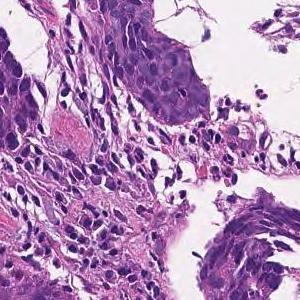
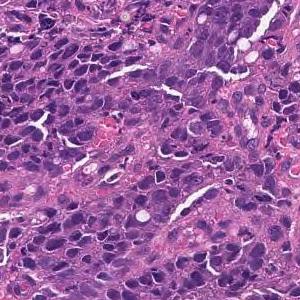
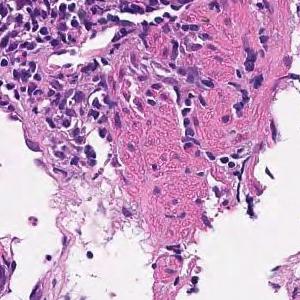
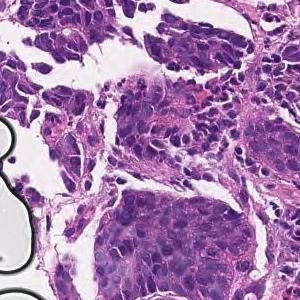
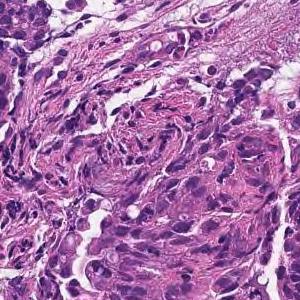
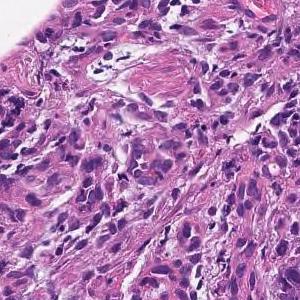
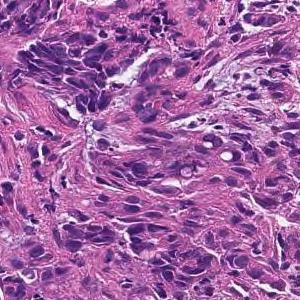
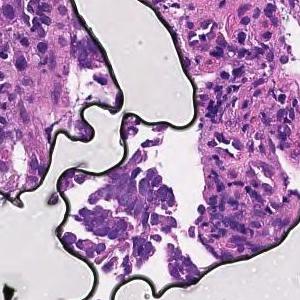
8 image tiles from a single gastric biopsy slide; 300×300 px each; 20× magnification; H&E.
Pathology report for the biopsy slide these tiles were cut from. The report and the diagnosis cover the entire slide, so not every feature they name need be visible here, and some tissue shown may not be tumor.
Tumor tissue consisting of cord-like or small, irregular glandular ducts fused and infiltrated is observed in the superficial epithelium. Poorly differentiated adenocarcinoma, non-solid type
The non-solid type named here is a Japanese Classification of Gastric Carcinoma category.
